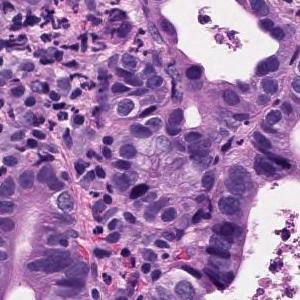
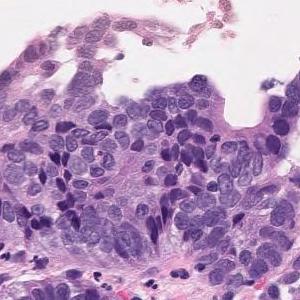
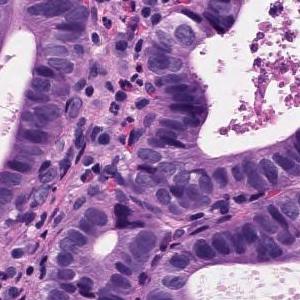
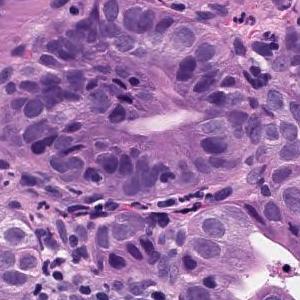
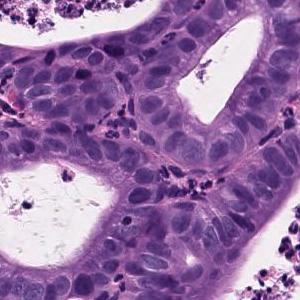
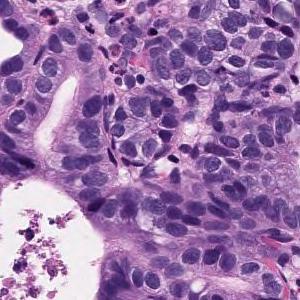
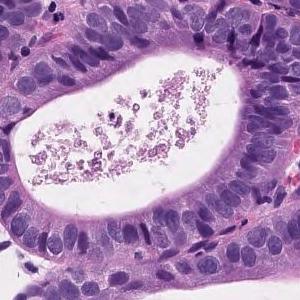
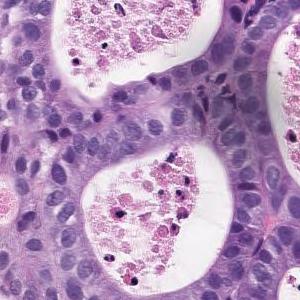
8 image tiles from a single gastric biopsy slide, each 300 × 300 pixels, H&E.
Report on the slide these tiles come from. Both the report and the diagnosis are for the whole slide: these tiles need not show every feature named, and some of the tissue shown may not be tumor.
Tumor tissue consisting of proliferative medium to large, round or irregular glandular ducts in the superficial epithelium. Well differentiated adenocarcinoma.
Histological subtype: Well differentiated tubular adenocarcinoma.
